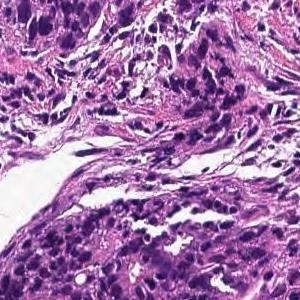
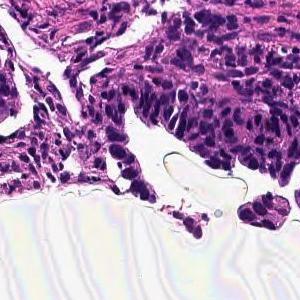
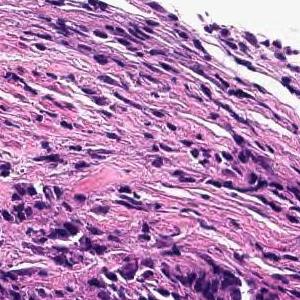
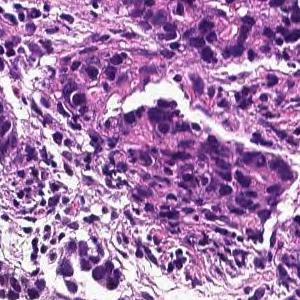
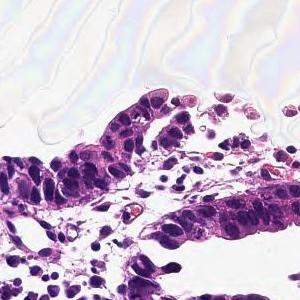
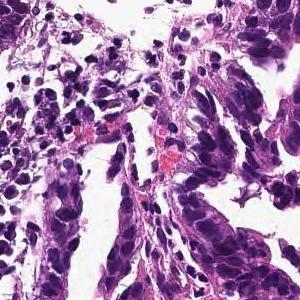
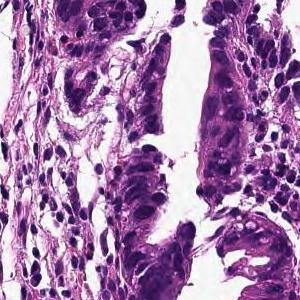
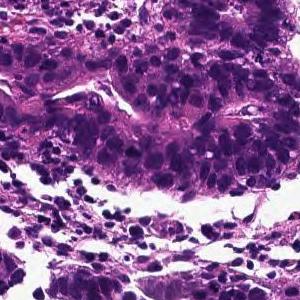
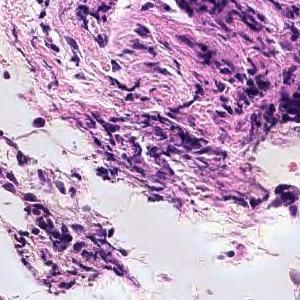
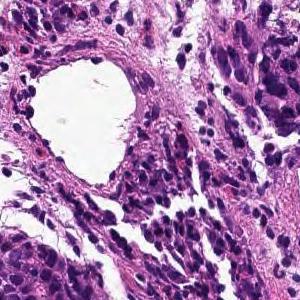
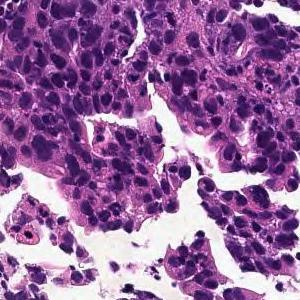
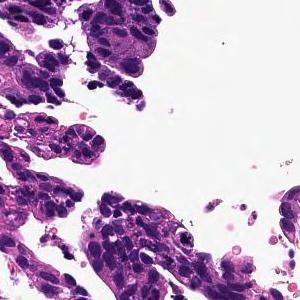
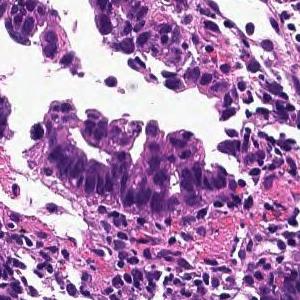
Hematoxylin and eosin stain, scanned at ×20, 13 image tiles from a single gastric biopsy slide, 300 × 300 pixels each.
The pathologist's report on the biopsy slide these tiles were taken from. The report describes the whole slide, diagnosis included: not every finding it names need appear in these tiles, which may also show non-tumor tissue.
In the superficial epithelium, tumor tissue that invades by forming medium-sized to small, irregular ducts is observed. moderately differentiated tubular adenocarcinoma.
